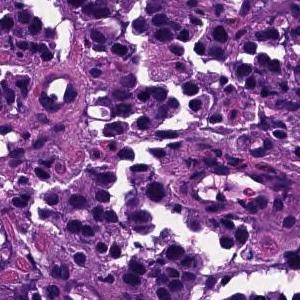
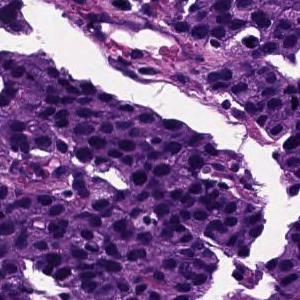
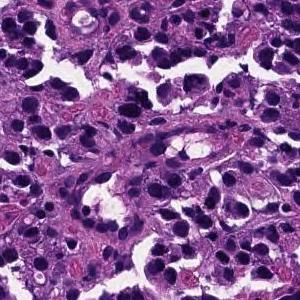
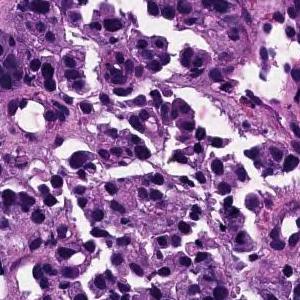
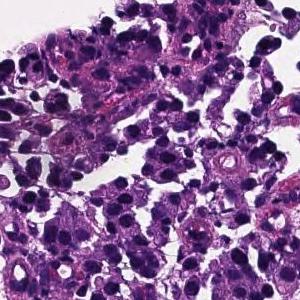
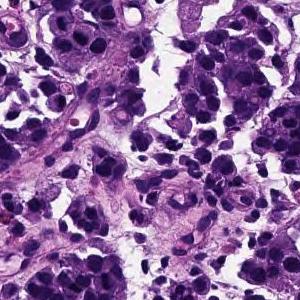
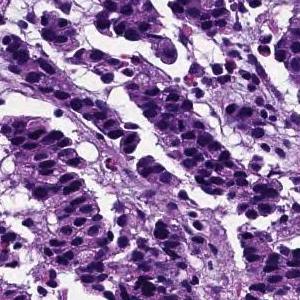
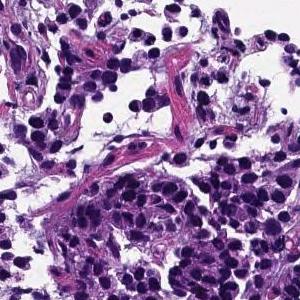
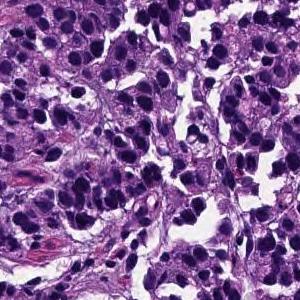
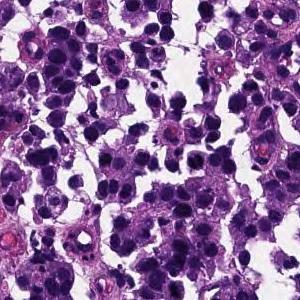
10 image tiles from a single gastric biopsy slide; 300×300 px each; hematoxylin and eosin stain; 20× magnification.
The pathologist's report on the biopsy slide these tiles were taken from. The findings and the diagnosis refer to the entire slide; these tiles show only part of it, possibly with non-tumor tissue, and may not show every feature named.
The superficial epithelium shows a large alveolar shape and infiltrates tumor tissue. Poorly differentiated adenocarcinoma, solid-type
Tumor subtype: poorly differentiated adenocarcinoma, solid type (Japanese Classification of Gastric Carcinoma). The WHO 2019 equivalent is tubular adenocarcinoma, poorly differentiated.
